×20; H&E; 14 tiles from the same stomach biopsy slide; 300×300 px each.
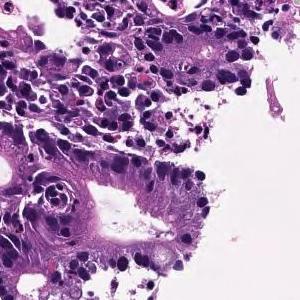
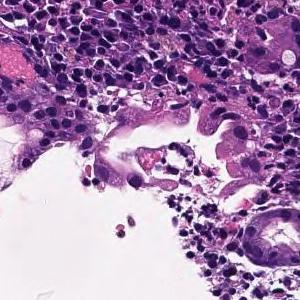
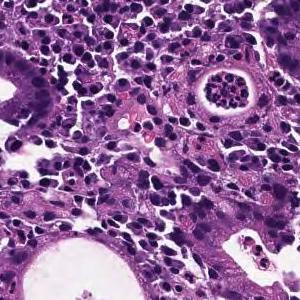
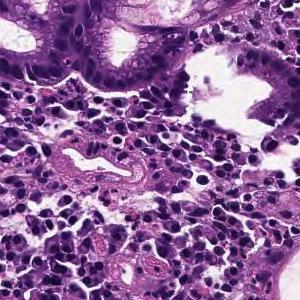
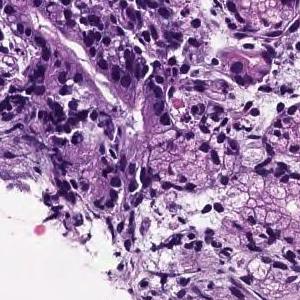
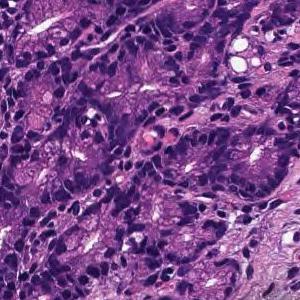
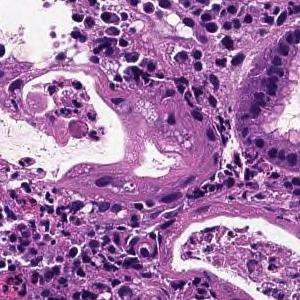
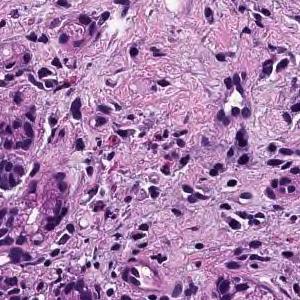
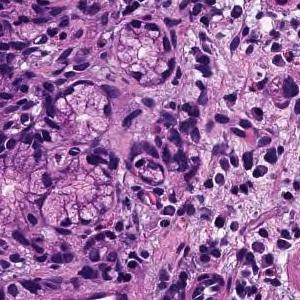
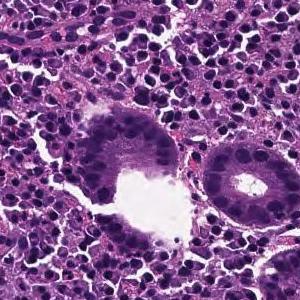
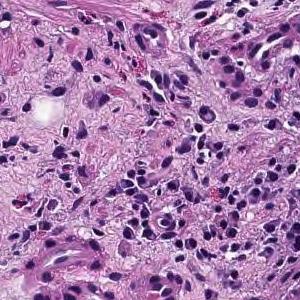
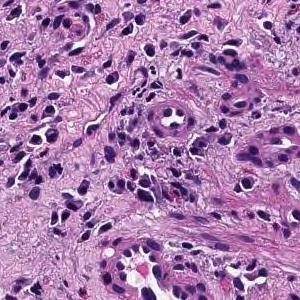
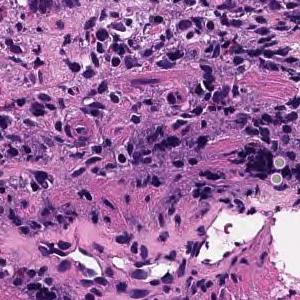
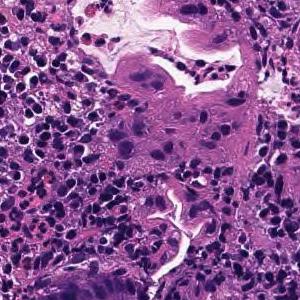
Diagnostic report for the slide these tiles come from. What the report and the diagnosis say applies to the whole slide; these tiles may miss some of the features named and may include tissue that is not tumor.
In the superficial epithelium, tumor tissue that invades by forming medium-sized to small, irregular ducts is observed. moderately differentiated tubular adenocarcinoma.
